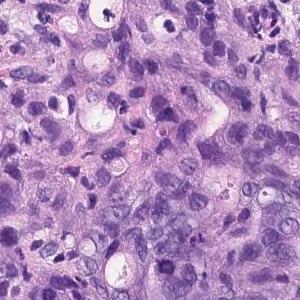
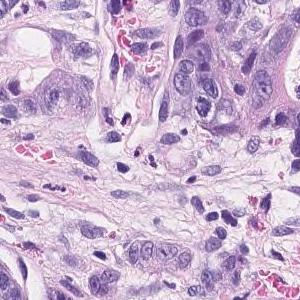
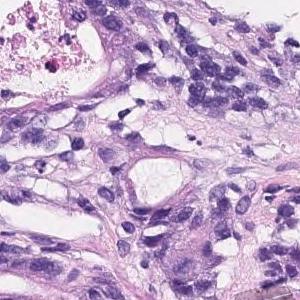
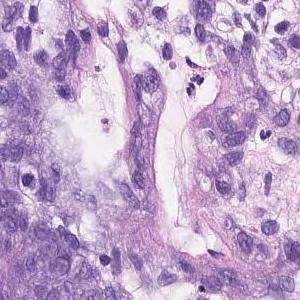
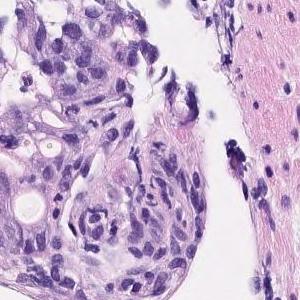
5 patches cut from one gastric biopsy slide; H&E stain.
The pathologist's report on the biopsy slide these tiles were taken from. The findings and the diagnosis refer to the entire slide; these tiles show only part of it, possibly with non-tumor tissue, and may not show every feature named.
Irregularly fused atypical ducts proliferating while replacing existing ducts was observed. moderately differentiated tubular adenocarcinoma
